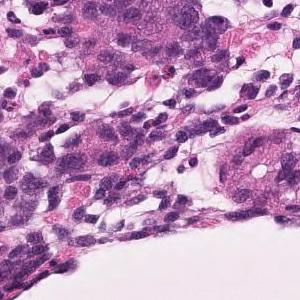
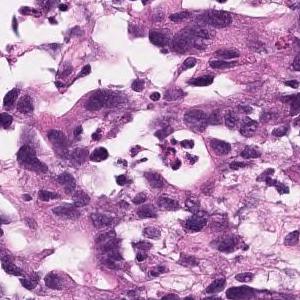
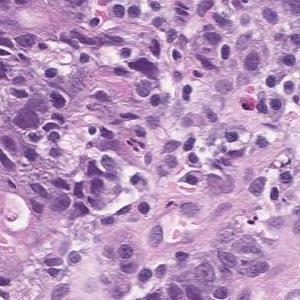
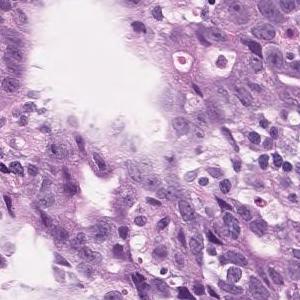
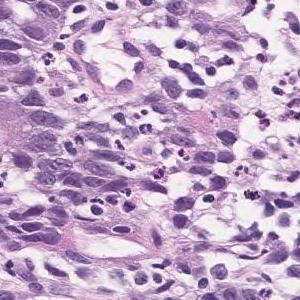
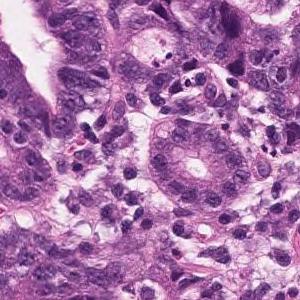
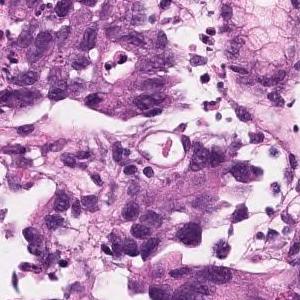
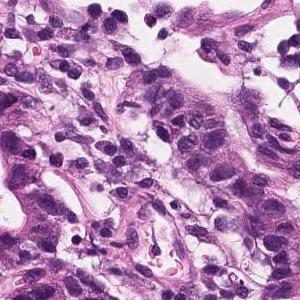
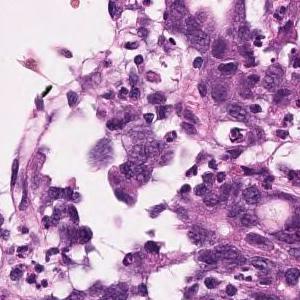
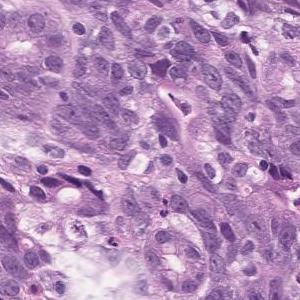
10 image tiles from a single gastric biopsy slide · 300 × 300 pixels each · H&E.
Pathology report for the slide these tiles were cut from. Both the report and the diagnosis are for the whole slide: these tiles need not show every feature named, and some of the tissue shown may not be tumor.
It is mixed with the existing pit epithelium and pyloric gland epithelium, and irregularly fused and branched atypical ducts are observed. Moderately differentiated tubular adenocarcinoma (well differentiated tubular adenocarcinoma)
Labeled in the dataset as moderately differentiated tubular adenocarcinoma.
